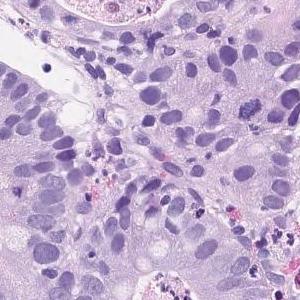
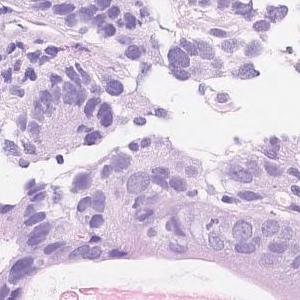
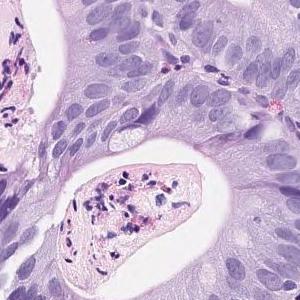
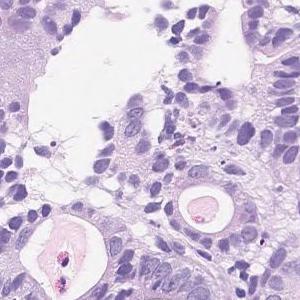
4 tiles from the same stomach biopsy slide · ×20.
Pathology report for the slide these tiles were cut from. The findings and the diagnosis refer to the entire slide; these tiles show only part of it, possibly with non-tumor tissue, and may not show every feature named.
On the superficial epithelium, tumor tissue consisting of medium to small irregular tubules partially fused and proliferated is observed. moderately differentiated tubular adenocarcinoma
